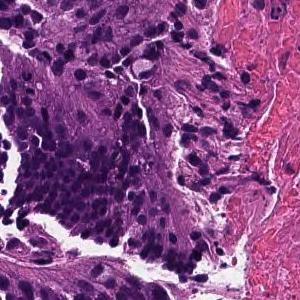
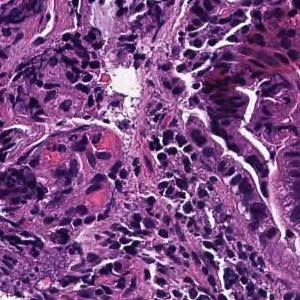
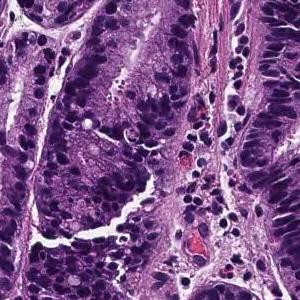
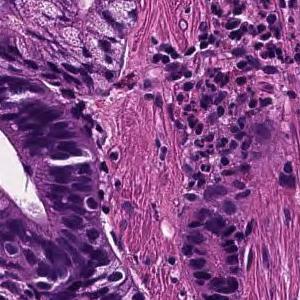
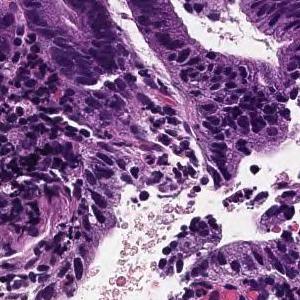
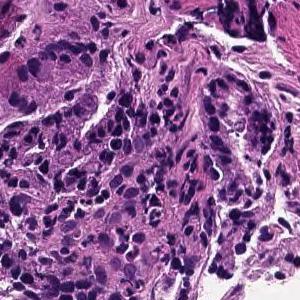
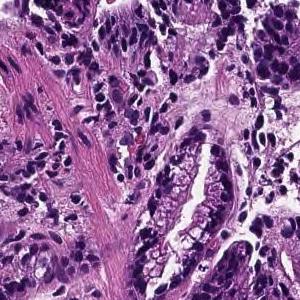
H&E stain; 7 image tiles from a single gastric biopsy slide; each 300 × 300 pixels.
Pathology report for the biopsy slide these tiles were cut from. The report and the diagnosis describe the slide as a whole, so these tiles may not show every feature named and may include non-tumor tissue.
From the superficial epithelium to the muscularis mucosae, tumor tissue consisting of medium-sized and irregular glandular ducts infiltrating is observed. Well differentiated tubular adenocarcinoma
